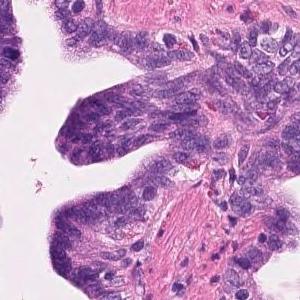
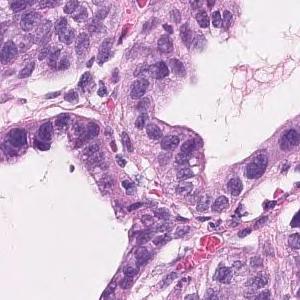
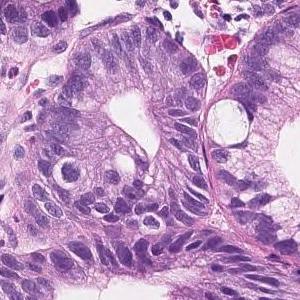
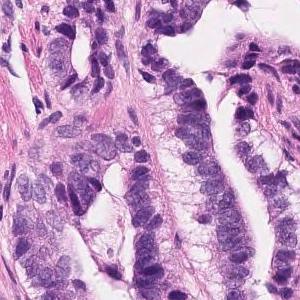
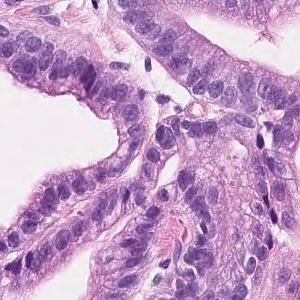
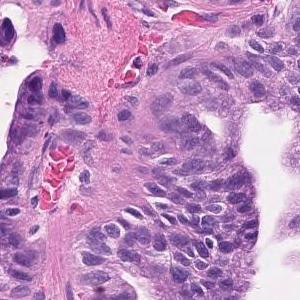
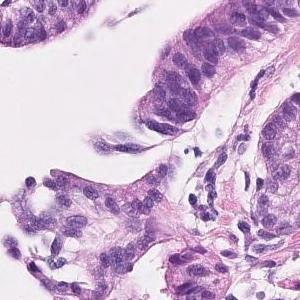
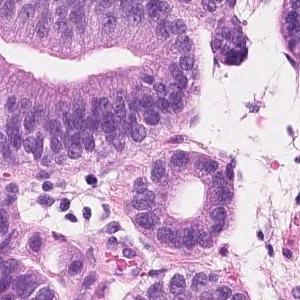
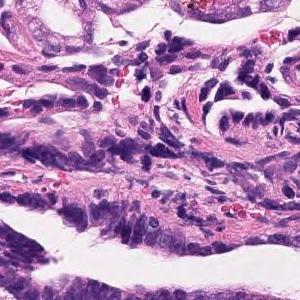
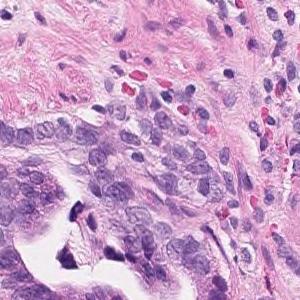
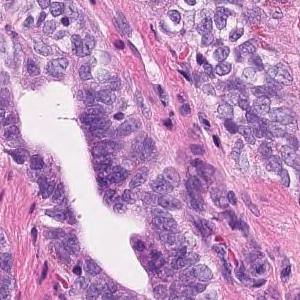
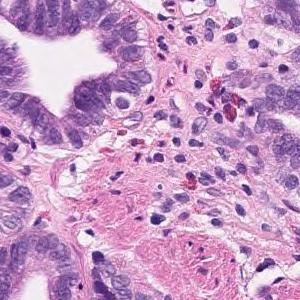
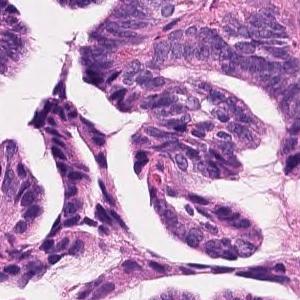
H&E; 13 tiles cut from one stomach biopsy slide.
Diagnostic report for the slide these tiles come from. The report and the diagnosis cover the entire slide, so not every feature they name need be visible here, and some tissue shown may not be tumor.
Tumor cells are large, highly columnar, large club-shaped nuclei, and are associated with chromatin aggregation. Papillary adenocarcinoma.
